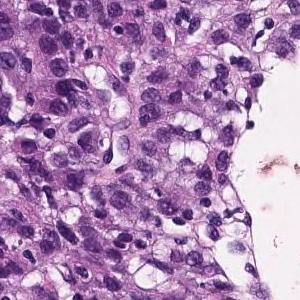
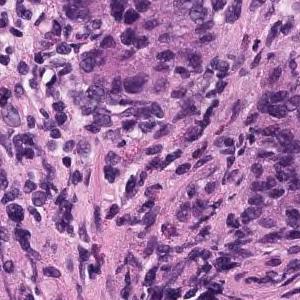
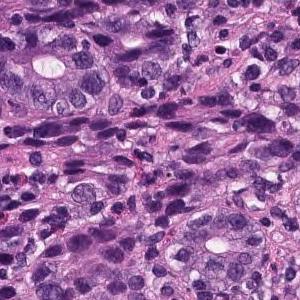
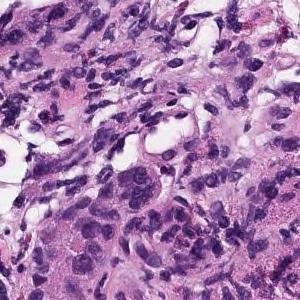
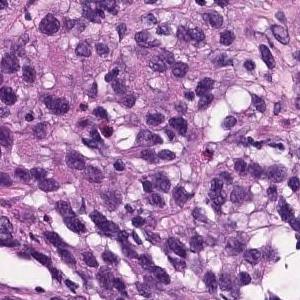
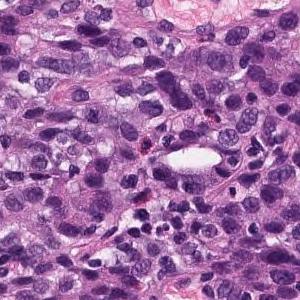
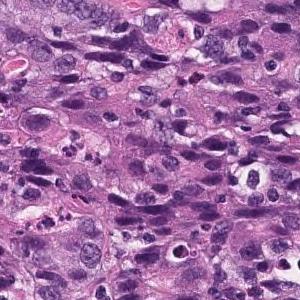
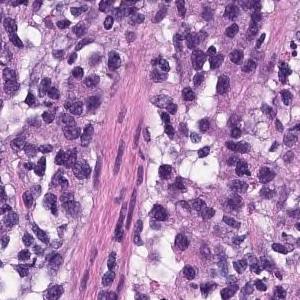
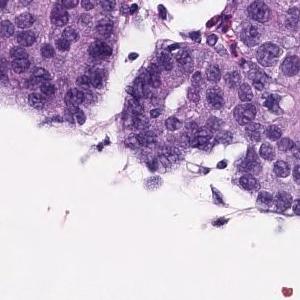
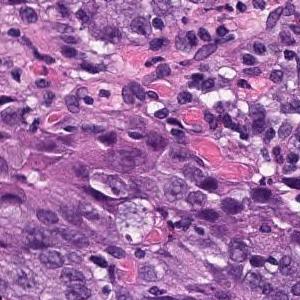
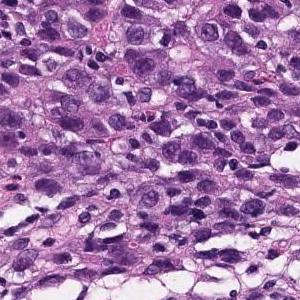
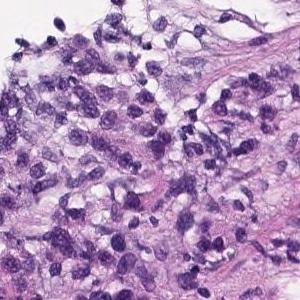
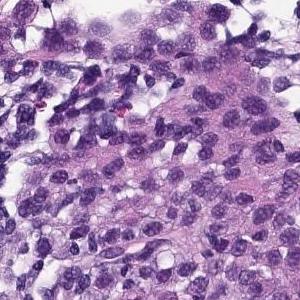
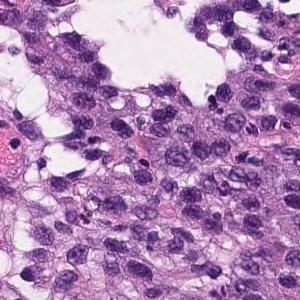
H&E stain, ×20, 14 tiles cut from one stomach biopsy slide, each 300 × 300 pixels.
Pathology report for the biopsy slide these tiles were cut from. The report and the diagnosis describe the slide as a whole, so these tiles may not show every feature named and may include non-tumor tissue.
In the superficial epithelium, tumor tissue that invades by forming medium-sized to small, irregular ducts is observed. Moderately differentiated adenocarcinoma.
Histologic type: Moderately differentiated tubular adenocarcinoma.
